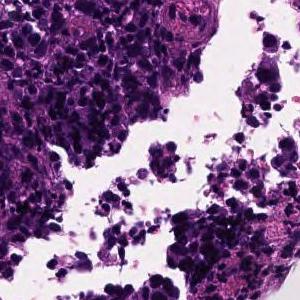
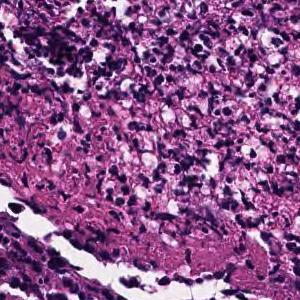
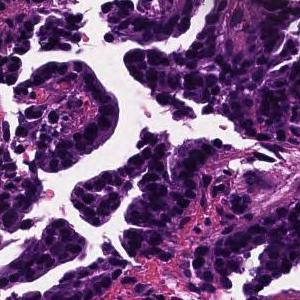
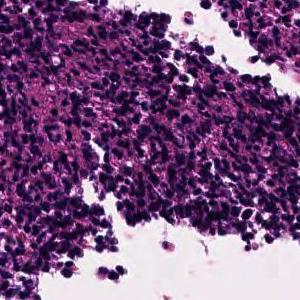
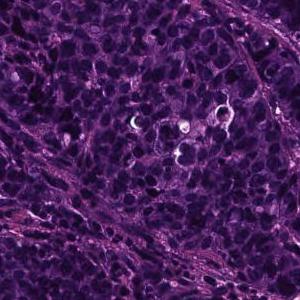
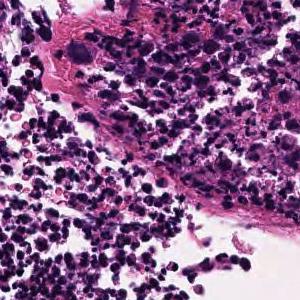
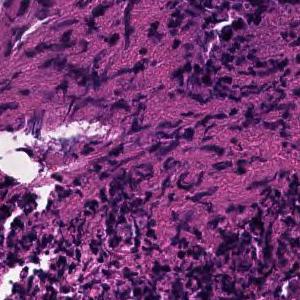
7 image tiles from a single gastric biopsy slide, scanned at ×20, H&E.
Diagnostic report for the slide these tiles come from. The findings and the diagnosis refer to the entire slide; these tiles show only part of it, possibly with non-tumor tissue, and may not show every feature named.
In the superficial epithelium, tumor tissue that invades by forming medium-sized to small, irregular ducts is observed. moderately differentiated tubular adenocarcinoma.
